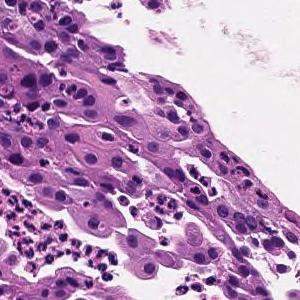
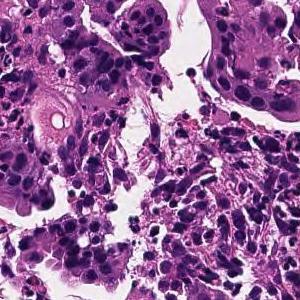
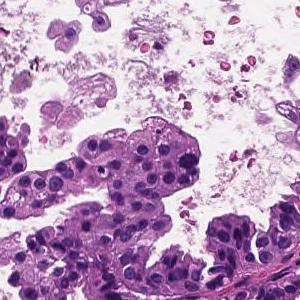
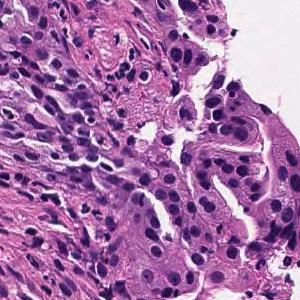
4 tiles from the same stomach biopsy slide · 300×300 px each · H&E.
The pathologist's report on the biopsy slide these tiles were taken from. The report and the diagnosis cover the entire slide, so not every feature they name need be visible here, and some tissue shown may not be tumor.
On the superficial epithelium, tumor tissue consisting of large, irregular glandular ducts partially fused and infiltrated is observed. Well to moderately differentiated tubular adenocarcinoma (well differentiated tubular adenocarcinoma, moderately differentiated tubular adenocarcinoma)
Tumor subtype: well to moderately differentiated tubular adenocarcinoma.
